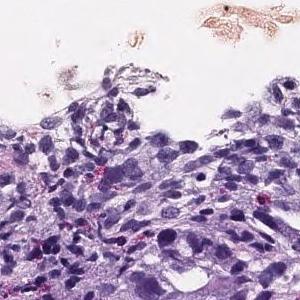
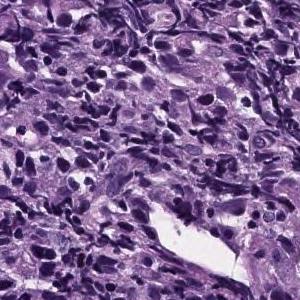
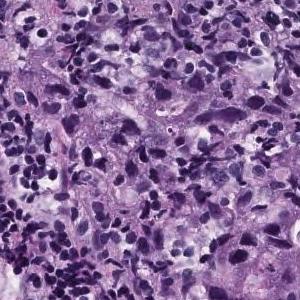
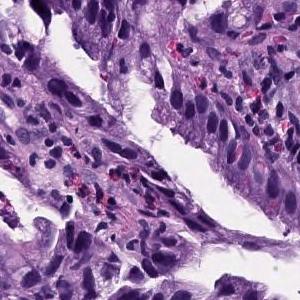
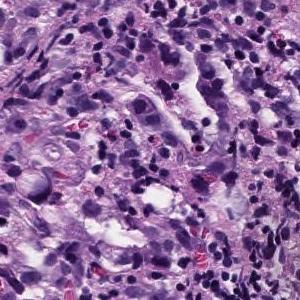
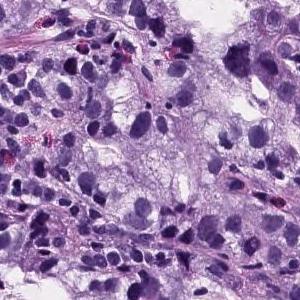
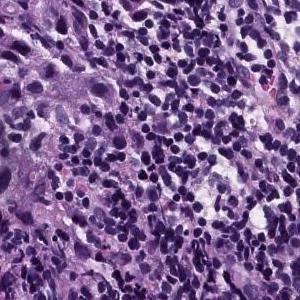
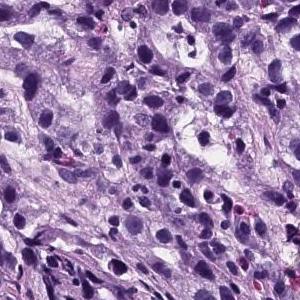
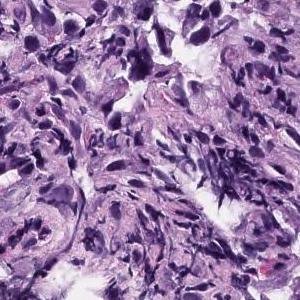
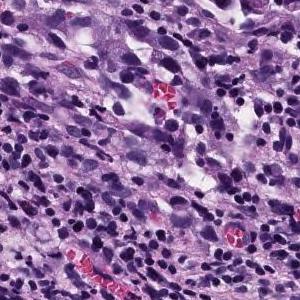
10 tiles from the same stomach biopsy slide, each 300 × 300 pixels, hematoxylin and eosin stain, ×20.
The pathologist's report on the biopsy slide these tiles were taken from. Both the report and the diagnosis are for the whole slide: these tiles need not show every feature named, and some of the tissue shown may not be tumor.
Atypical epithelial cells infiltrating and proliferating while forming solid or cord-like fused glandular cavities of different sizes is observed. moderately differentiated tubular adenocarcinoma, poorly differentiated adenocarcinoma.
Histological subtype: Moderately to poorly differentiated adenocarcinoma.
